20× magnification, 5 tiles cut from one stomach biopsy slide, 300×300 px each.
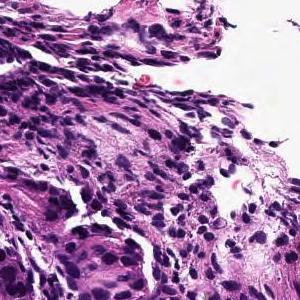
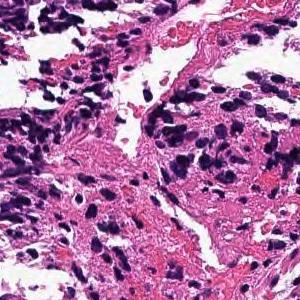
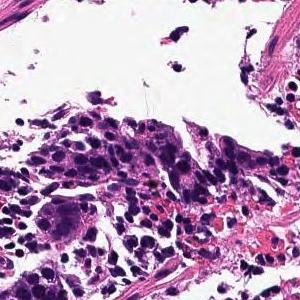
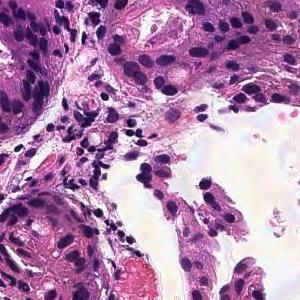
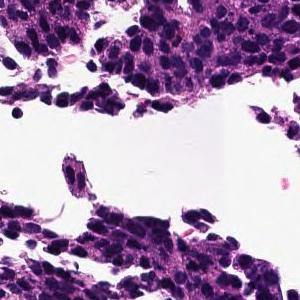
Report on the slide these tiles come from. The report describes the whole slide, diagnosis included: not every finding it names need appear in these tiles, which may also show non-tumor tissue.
In the superficial epithelium, tumor tissue that invades by forming medium-sized to small, irregular ducts is observed. moderately differentiated tubular adenocarcinoma.
